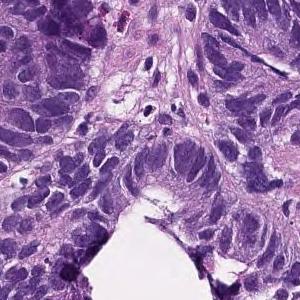
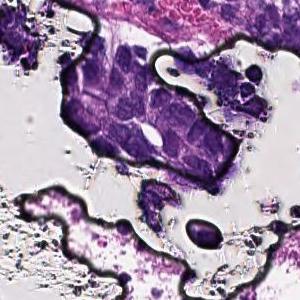
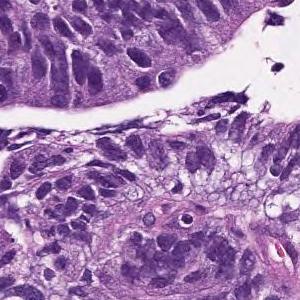
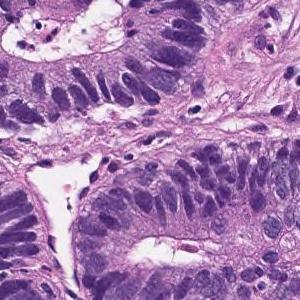
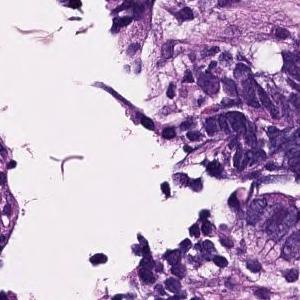
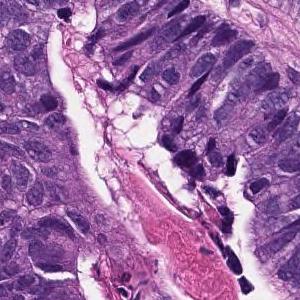
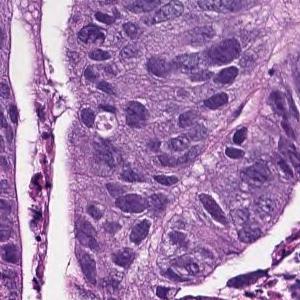
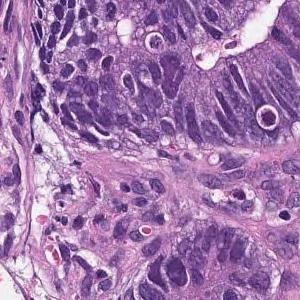
8 patches cut from one gastric biopsy slide · each 300 × 300 pixels · ×20 · H&E.
Pathology report for the biopsy slide these tiles were cut from. The report and the diagnosis describe the slide as a whole, so these tiles may not show every feature named and may include non-tumor tissue.
In the superficial epithelium, tumor tissue that invades by forming medium-sized to small, irregular ducts is observed. moderately differentiated tubular adenocarcinoma.
